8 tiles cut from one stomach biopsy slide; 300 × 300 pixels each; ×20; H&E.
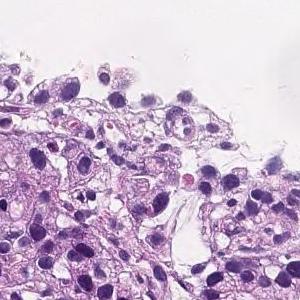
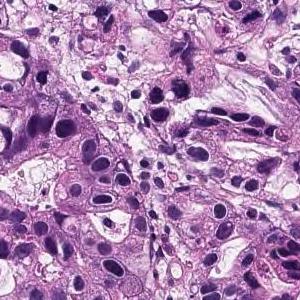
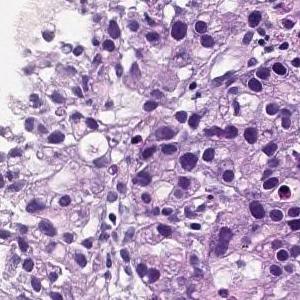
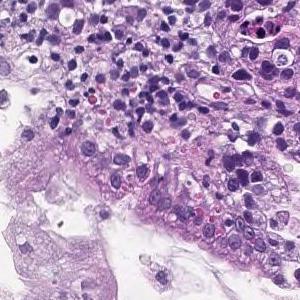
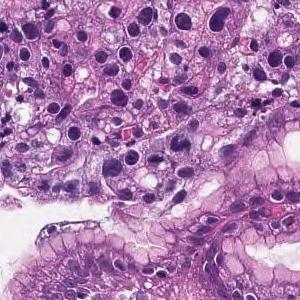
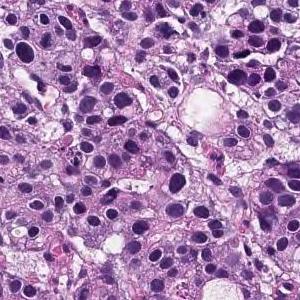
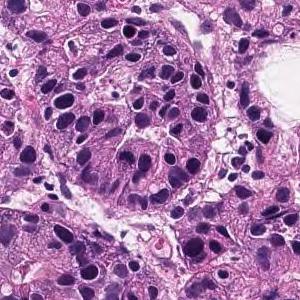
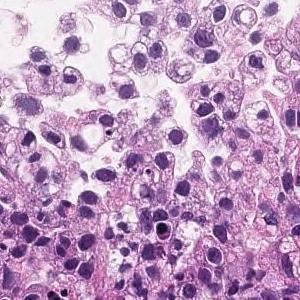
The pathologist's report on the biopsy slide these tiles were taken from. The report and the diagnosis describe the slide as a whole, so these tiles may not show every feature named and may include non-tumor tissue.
In the superficial epithelium, tumor tissue that invades by forming medium-sized to small, irregular ducts is observed. moderately differentiated tubular adenocarcinoma.
